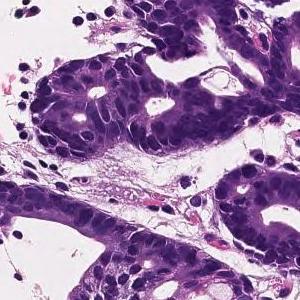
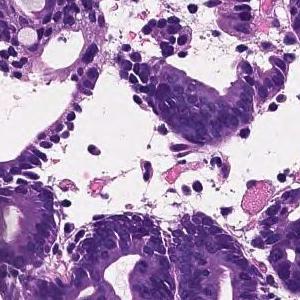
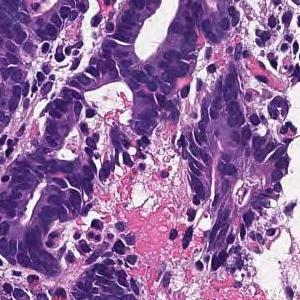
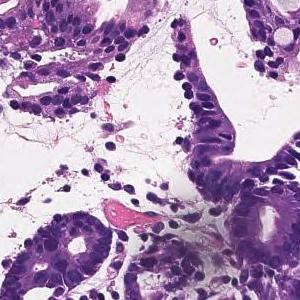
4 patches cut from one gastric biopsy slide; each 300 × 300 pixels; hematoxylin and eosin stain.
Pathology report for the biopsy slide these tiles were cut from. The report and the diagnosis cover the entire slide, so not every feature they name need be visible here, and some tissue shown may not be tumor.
On the superficial epithelium, tumor tissue is found in which medium-sized irregular gland ducts fuse with each other and infiltrate. moderately differentiated tubular adenocarcinoma
